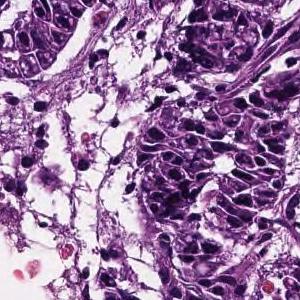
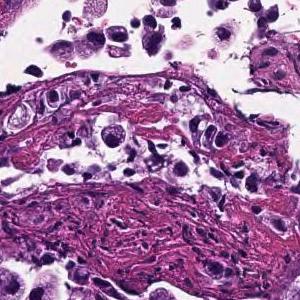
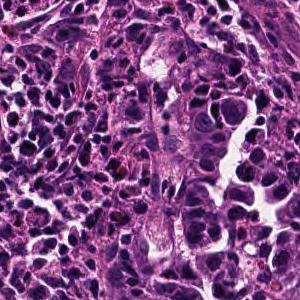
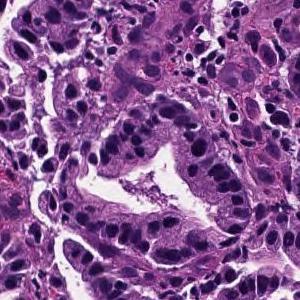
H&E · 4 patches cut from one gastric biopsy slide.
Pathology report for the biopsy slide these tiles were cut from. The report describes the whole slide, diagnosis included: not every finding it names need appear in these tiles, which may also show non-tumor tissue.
Tumor cells are large, highly columnar, large club-shaped nuclei, and are associated with chromatin aggregation. Papillary adenocarcinoma.
